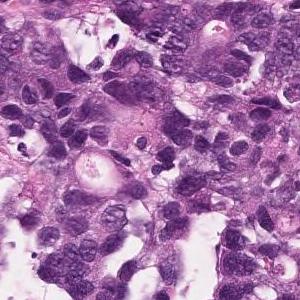
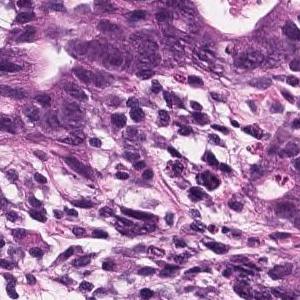
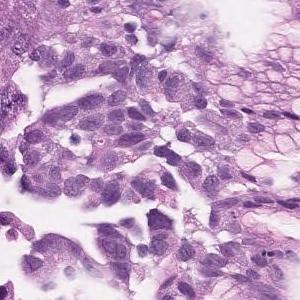
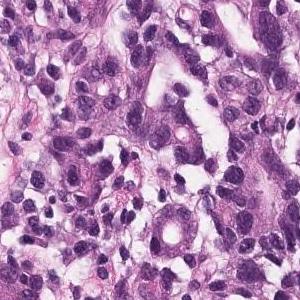
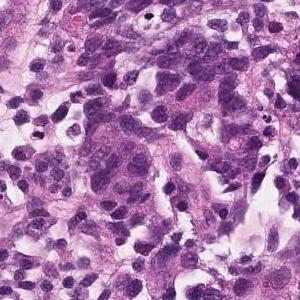
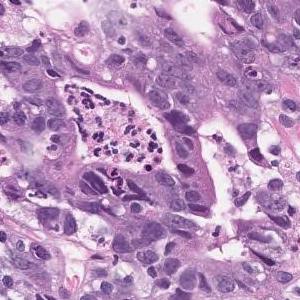
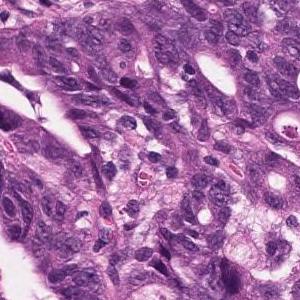
Scanned at ×20; H&E stain; 7 tiles from the same stomach biopsy slide; 300×300 px each.
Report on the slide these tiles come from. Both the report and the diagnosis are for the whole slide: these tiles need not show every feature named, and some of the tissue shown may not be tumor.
It is mixed with the existing pit epithelium and pyloric gland epithelium, and irregularly fused and branched atypical ducts are observed. Moderately differentiated tubular adenocarcinoma (well differentiated tubular adenocarcinoma)
Dataset label: moderately differentiated tubular adenocarcinoma.
